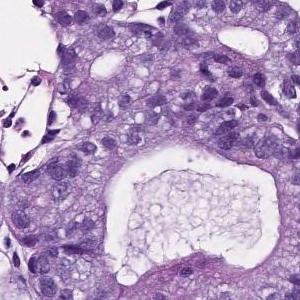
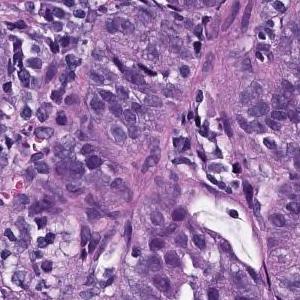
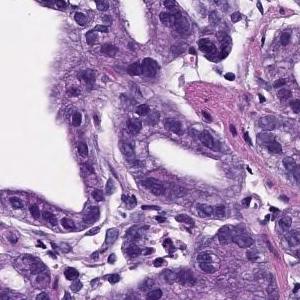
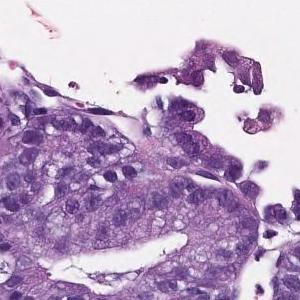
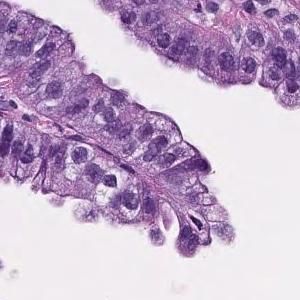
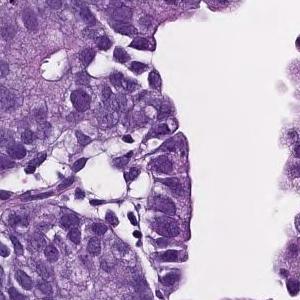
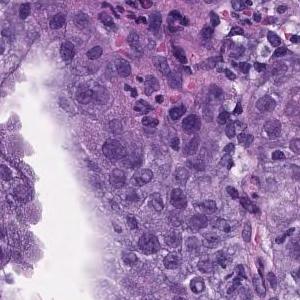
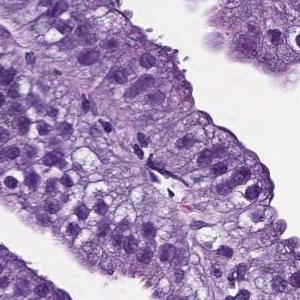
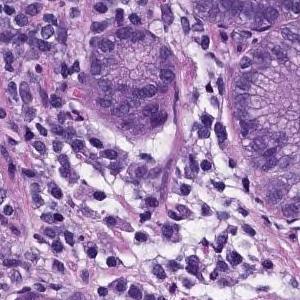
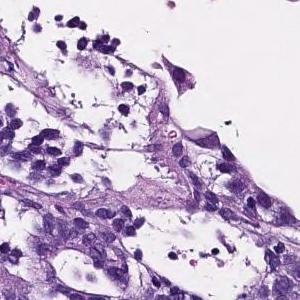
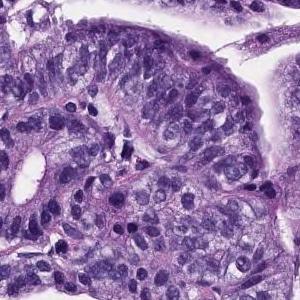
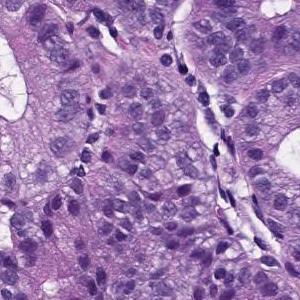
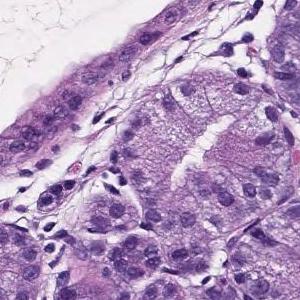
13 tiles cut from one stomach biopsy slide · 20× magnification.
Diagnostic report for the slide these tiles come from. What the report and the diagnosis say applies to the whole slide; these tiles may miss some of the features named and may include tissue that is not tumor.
On the superficial epithelium, tumor tissue that infiltrates by forming medium-sized papillary or small irregular ducts is observed. Papillary adenocarcinoma
